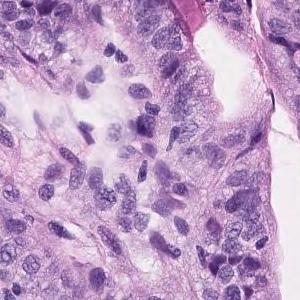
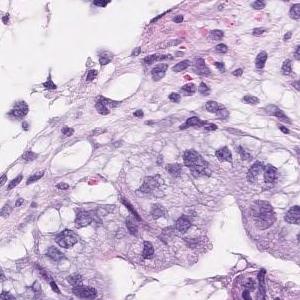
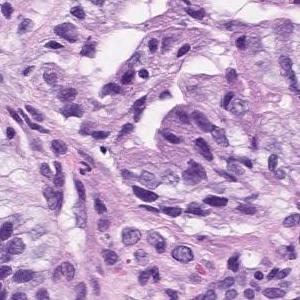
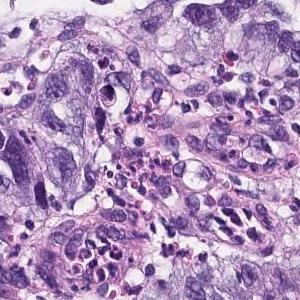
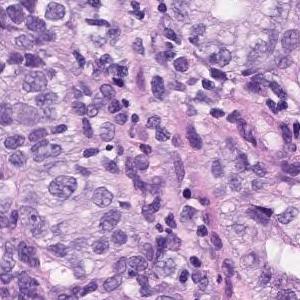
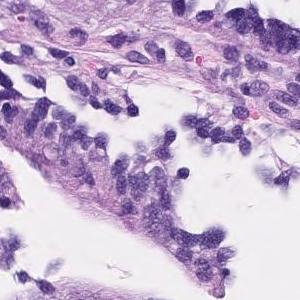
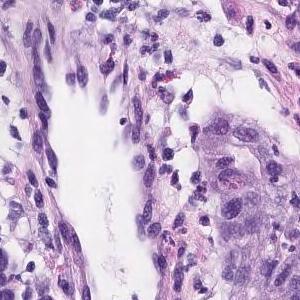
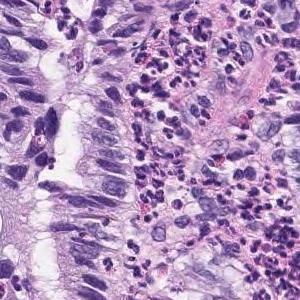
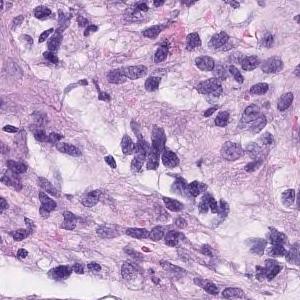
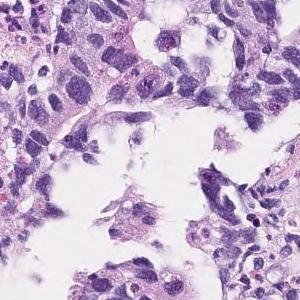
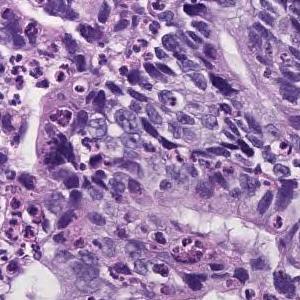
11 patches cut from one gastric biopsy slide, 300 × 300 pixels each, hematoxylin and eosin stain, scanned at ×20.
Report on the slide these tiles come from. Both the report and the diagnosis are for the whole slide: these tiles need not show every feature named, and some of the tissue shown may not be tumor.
Tumor cells are large, highly columnar, large club-shaped nuclei, and are associated with chromatin aggregation. Papillary adenocarcinoma.
